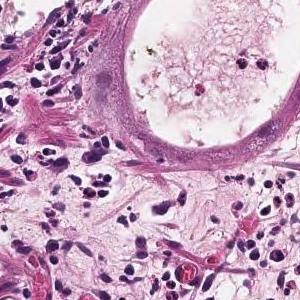
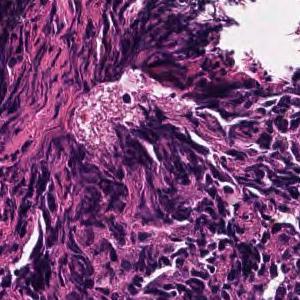
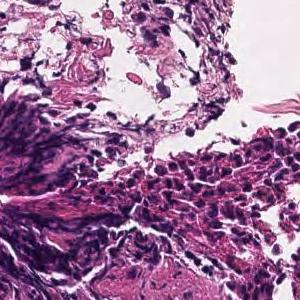
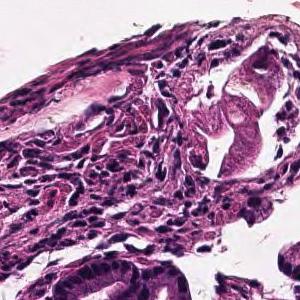
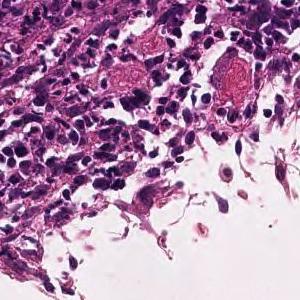
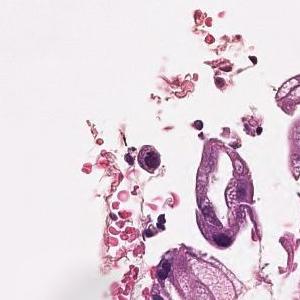
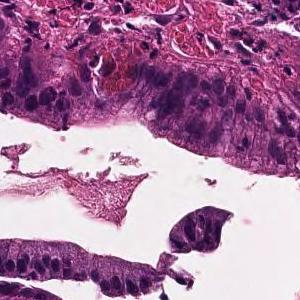
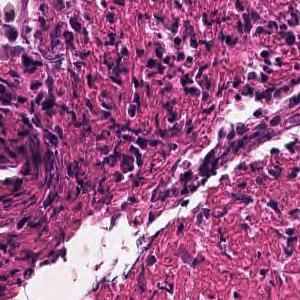
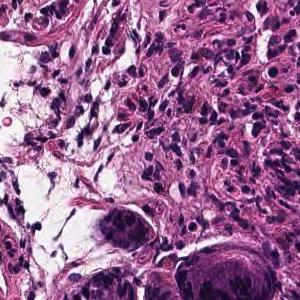
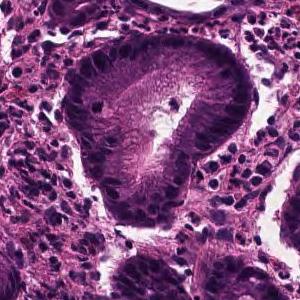
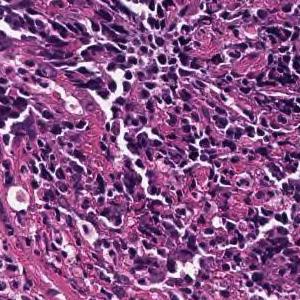
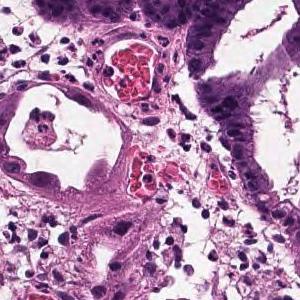
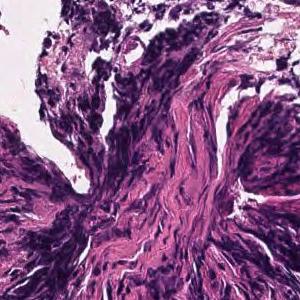
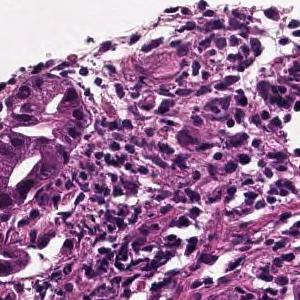
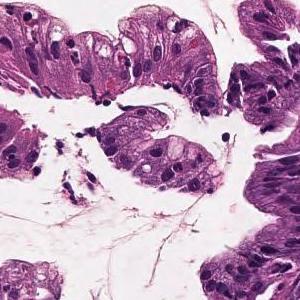
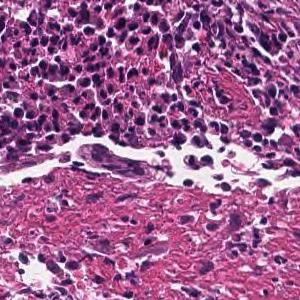
16 patches cut from one gastric biopsy slide, 300 × 300 pixels each, hematoxylin and eosin stain.
The pathologist's report on the biopsy slide these tiles were taken from. The findings and the diagnosis refer to the entire slide; these tiles show only part of it, possibly with non-tumor tissue, and may not show every feature named.
Tumor tissue consisting of cord-like or small, irregular glandular ducts fused and infiltrated is observed in the superficial epithelium. Poorly differentiated adenocarcinoma, non-solid type
"Non-solid type" is a category of the Japanese Classification of Gastric Carcinoma.
